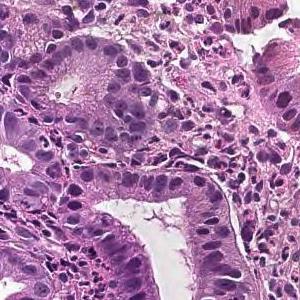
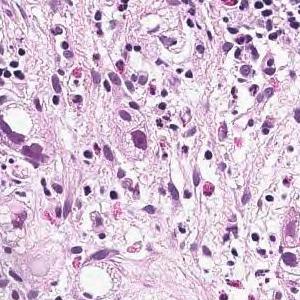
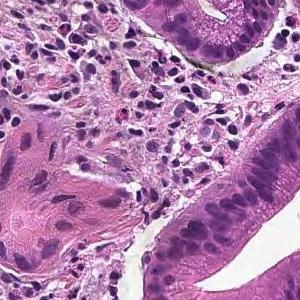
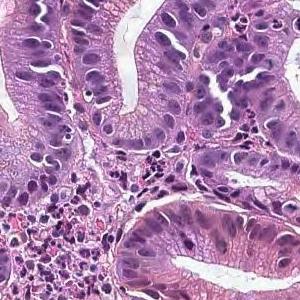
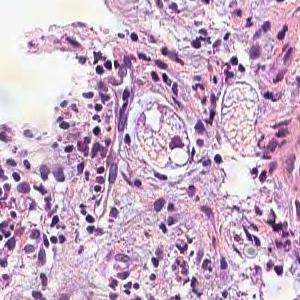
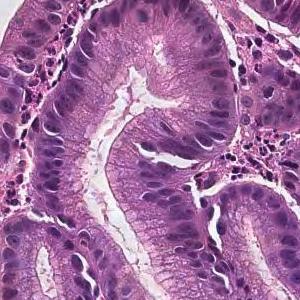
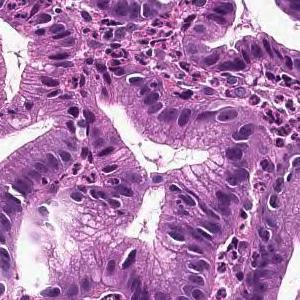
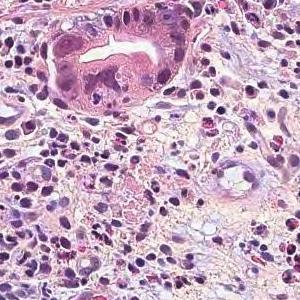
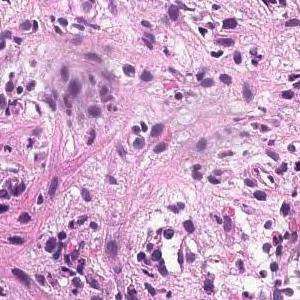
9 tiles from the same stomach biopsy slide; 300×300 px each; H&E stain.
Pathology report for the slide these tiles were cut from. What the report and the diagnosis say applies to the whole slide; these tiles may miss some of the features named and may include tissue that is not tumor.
On the superficial epithelium, tumor tissue that infiltrates by forming medium-sized papillary or small irregular ducts is observed. Papillary adenocarcinoma
